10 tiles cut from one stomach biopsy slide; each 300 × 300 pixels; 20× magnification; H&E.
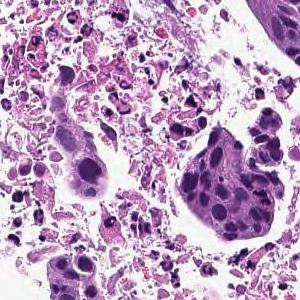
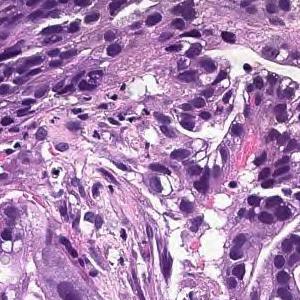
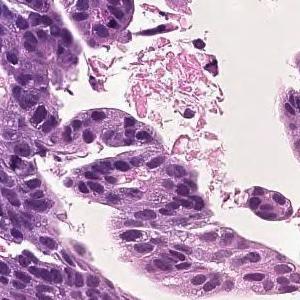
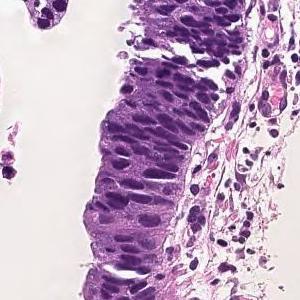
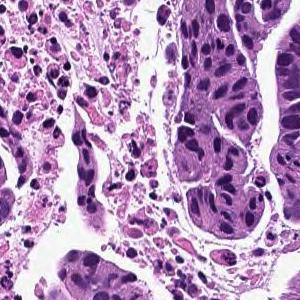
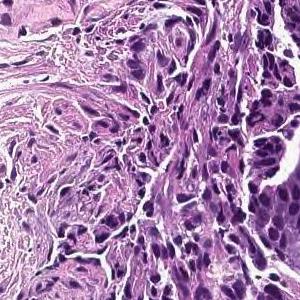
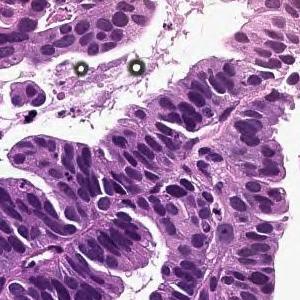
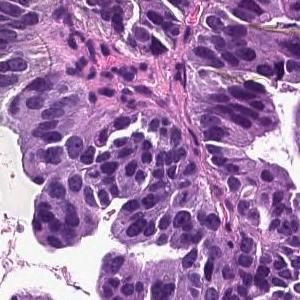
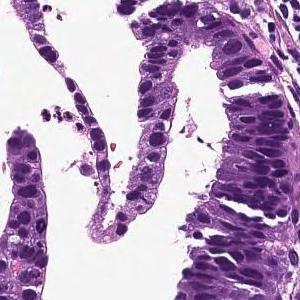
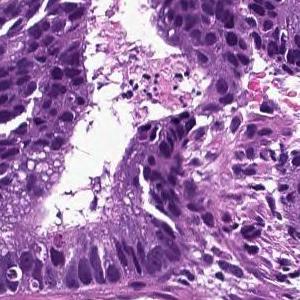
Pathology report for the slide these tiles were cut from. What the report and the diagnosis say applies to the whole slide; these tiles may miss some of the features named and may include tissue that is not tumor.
Tumor cells are large, highly columnar, large club-shaped nuclei, and are associated with chromatin aggregation. Papillary adenocarcinoma.
